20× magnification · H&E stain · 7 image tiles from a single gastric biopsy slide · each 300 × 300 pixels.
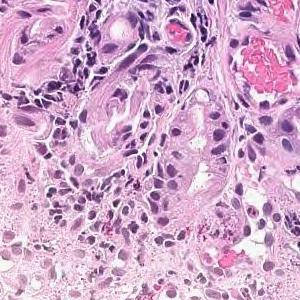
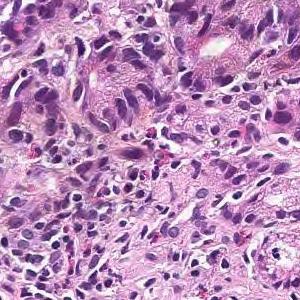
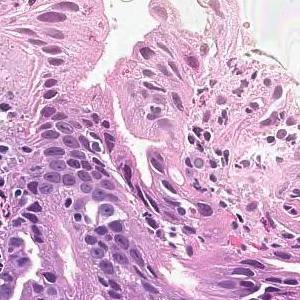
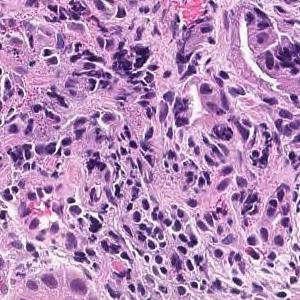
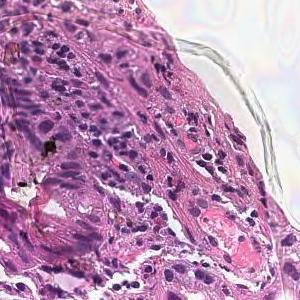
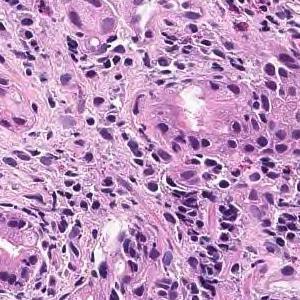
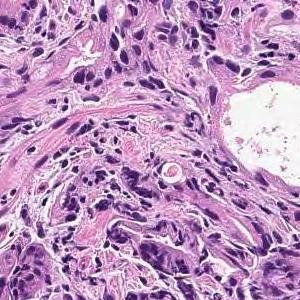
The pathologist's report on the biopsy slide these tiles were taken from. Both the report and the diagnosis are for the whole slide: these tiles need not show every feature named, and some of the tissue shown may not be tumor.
In the superficial epithelium, tumor tissue that invades by forming medium-sized to small, irregular ducts is observed. moderately differentiated tubular adenocarcinoma.
